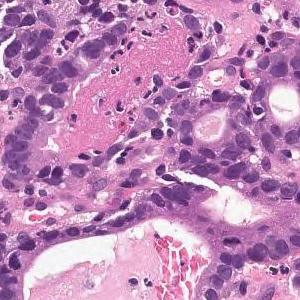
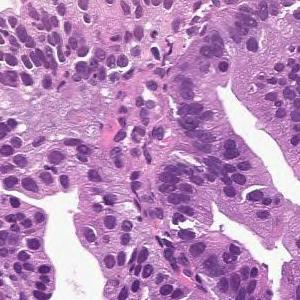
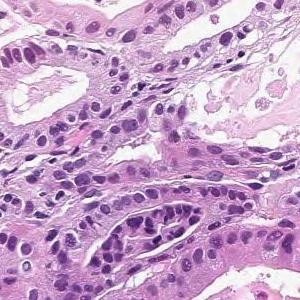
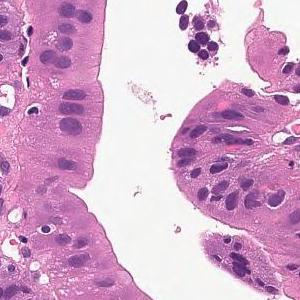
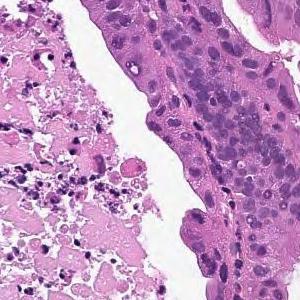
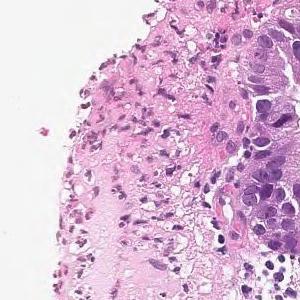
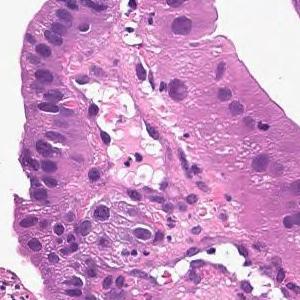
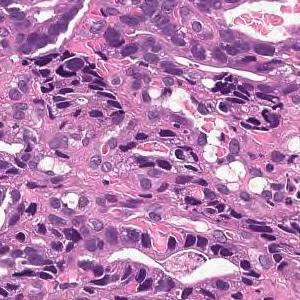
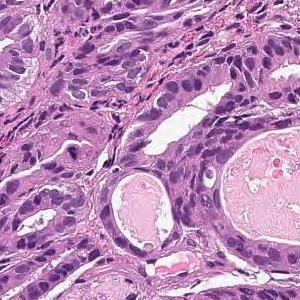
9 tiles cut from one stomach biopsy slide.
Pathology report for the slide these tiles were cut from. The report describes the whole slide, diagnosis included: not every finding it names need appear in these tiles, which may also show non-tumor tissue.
From the superficial epithelium to the muscularis mucosae, tumor tissue consisting of medium-sized and irregular glandular ducts infiltrating is observed. Well differentiated tubular adenocarcinoma
